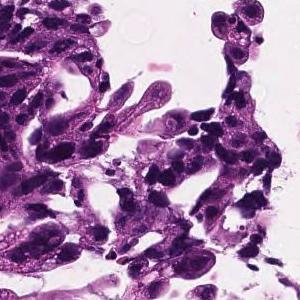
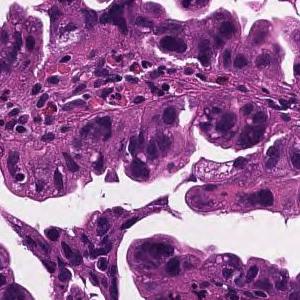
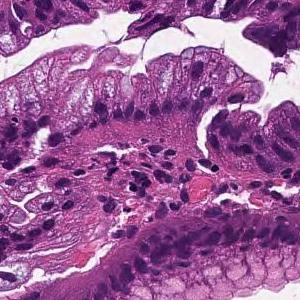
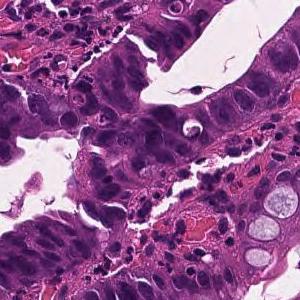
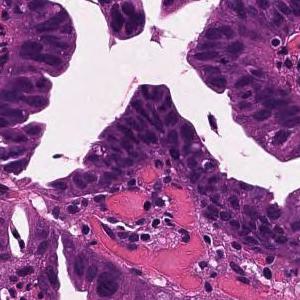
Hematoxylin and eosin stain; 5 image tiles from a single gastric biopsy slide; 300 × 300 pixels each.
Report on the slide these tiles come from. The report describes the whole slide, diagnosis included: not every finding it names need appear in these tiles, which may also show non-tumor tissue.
From the superficial epithelium to the muscularis mucosae, tumor tissue consisting of medium-sized and irregular glandular ducts infiltrating is observed. Well differentiated tubular adenocarcinoma
